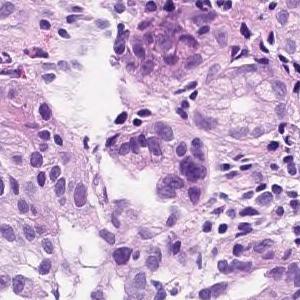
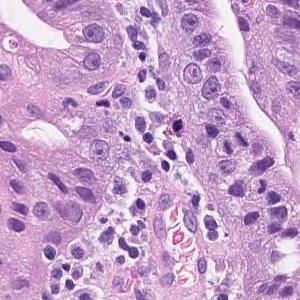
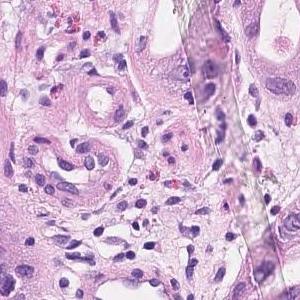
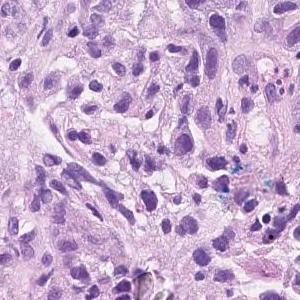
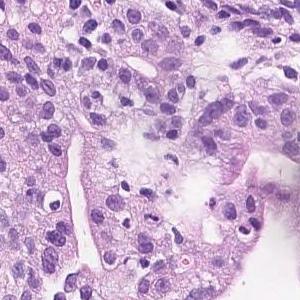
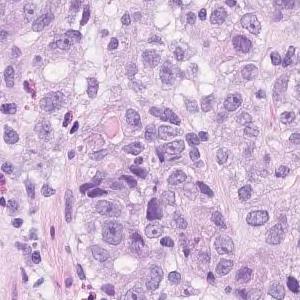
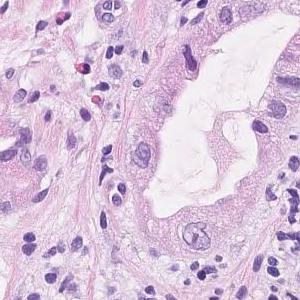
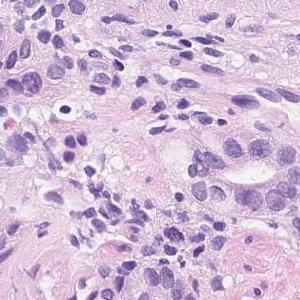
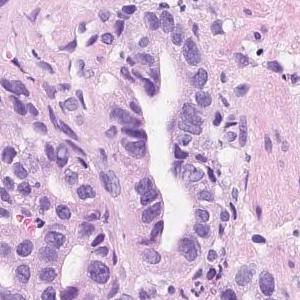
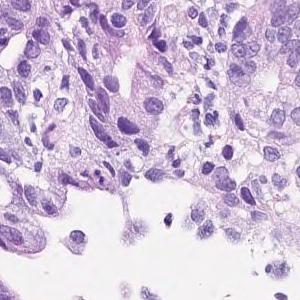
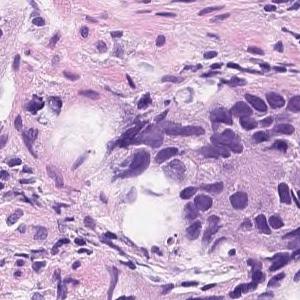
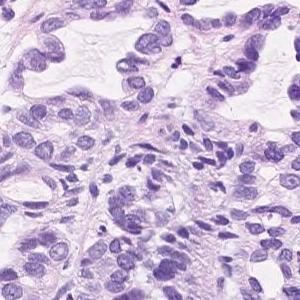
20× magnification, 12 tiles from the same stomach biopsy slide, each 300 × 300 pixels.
The pathologist's report on the biopsy slide these tiles were taken from. The findings and the diagnosis refer to the entire slide; these tiles show only part of it, possibly with non-tumor tissue, and may not show every feature named.
In the superficial epithelium, tumor tissue that invades by forming medium-sized to small, irregular ducts is observed. Moderately to poorly differentiated adenocarcinoma
